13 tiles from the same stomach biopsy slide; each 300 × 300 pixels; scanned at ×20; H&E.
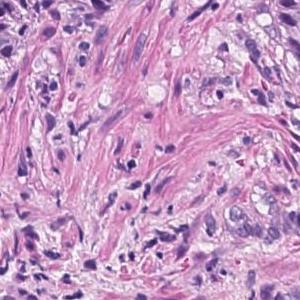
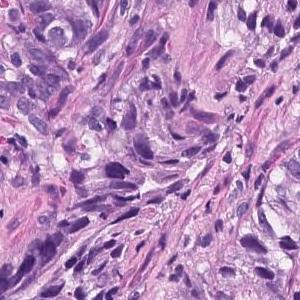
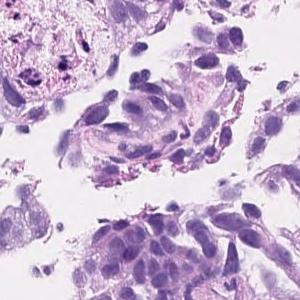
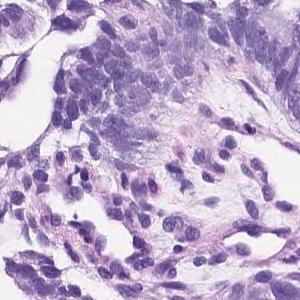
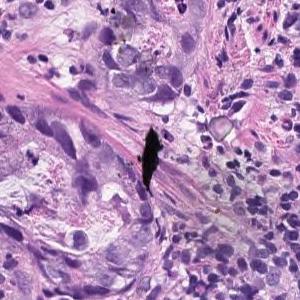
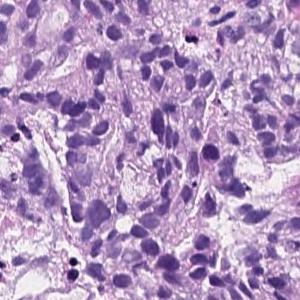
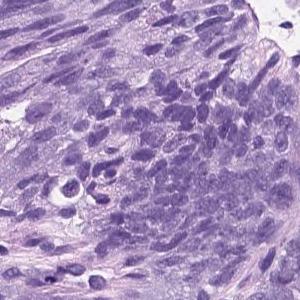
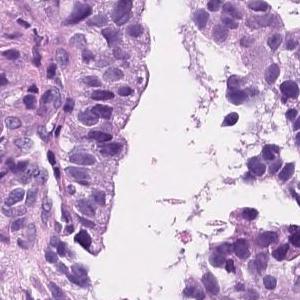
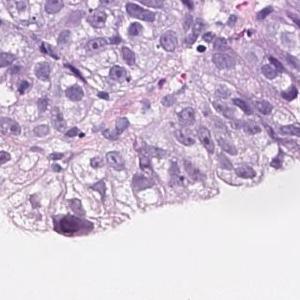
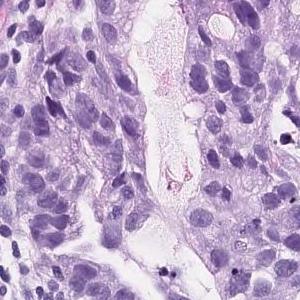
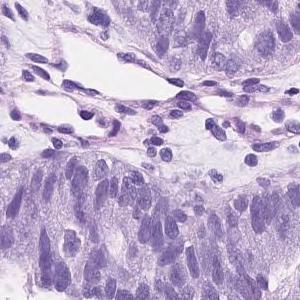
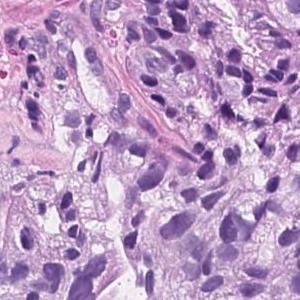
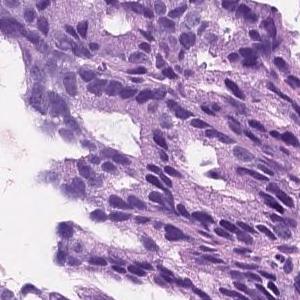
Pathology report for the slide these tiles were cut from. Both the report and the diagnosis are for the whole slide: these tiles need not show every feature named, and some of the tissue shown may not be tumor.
On the superficial epithelium, tumor tissue consisting of an image of large, irregular glandular ducts partially fused and infiltrated is observed. Well to moderately differentiated tubular adenocarcinoma
